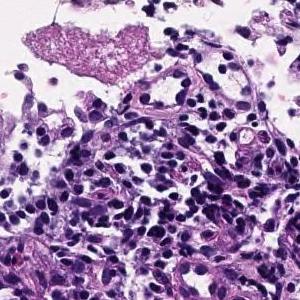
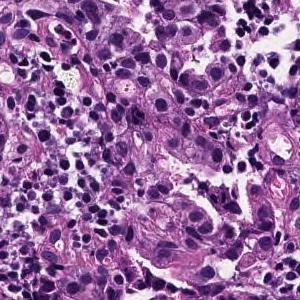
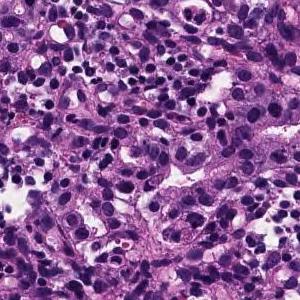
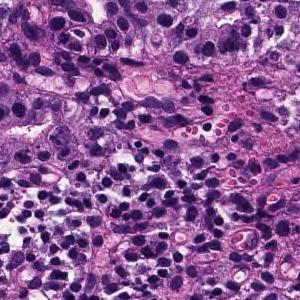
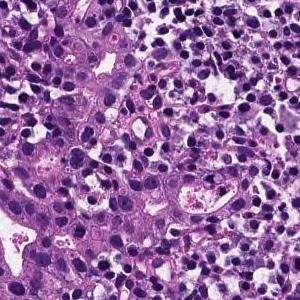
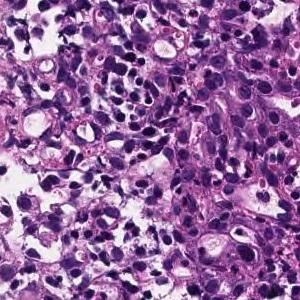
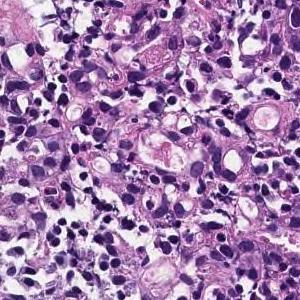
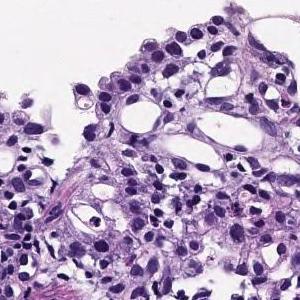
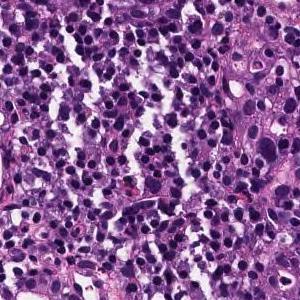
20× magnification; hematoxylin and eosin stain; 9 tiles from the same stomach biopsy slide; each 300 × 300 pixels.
The pathologist's report on the biopsy slide these tiles were taken from. Both the report and the diagnosis are for the whole slide: these tiles need not show every feature named, and some of the tissue shown may not be tumor.
Medium to small, irregular glandular ducts are formed in the superficial epithelium, and in some cases, the glandular ducts are fused to show solid alveolar lesions and infiltrating tumor tissue is observed. Moderately to poorly differentiated adenocarcinoma.
